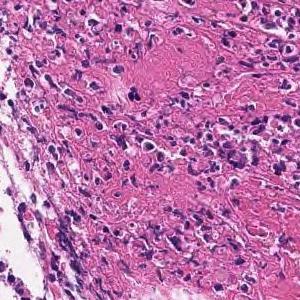
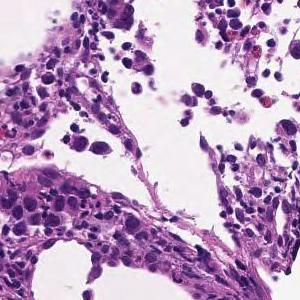
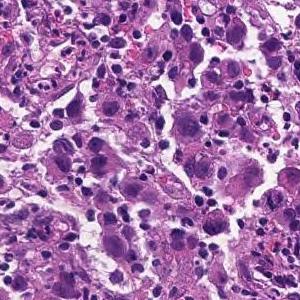
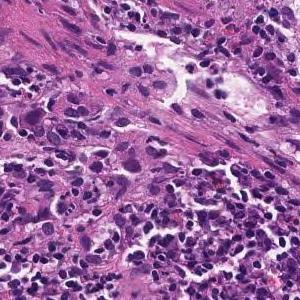
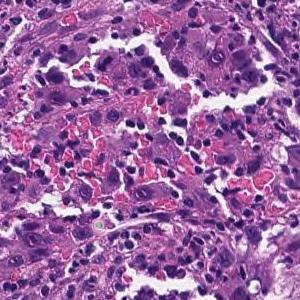
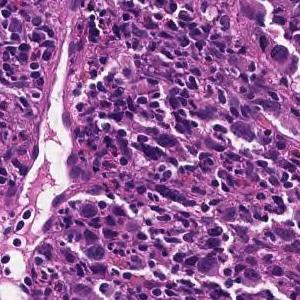
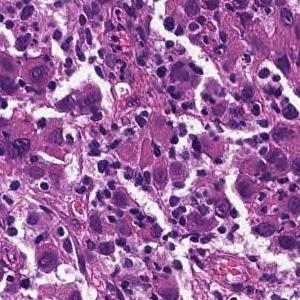
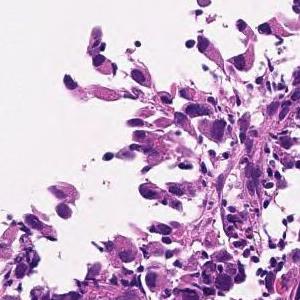
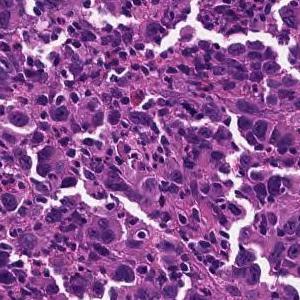
Scanned at ×20; 9 tiles from the same stomach biopsy slide; 300 × 300 pixels each.
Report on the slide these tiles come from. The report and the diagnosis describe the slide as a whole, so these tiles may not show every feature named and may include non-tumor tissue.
The superficial epithelium shows a large sheet-like shape, and some tumor tissue infiltrates with small irregular ducts. Poorly differentiated adenocarcinoma, solid-type (poorly differentiated adenocarcinoma, solid type)
Histological subtype: Poorly differentiated adenocarcinoma, solid type, a category of the Japanese Classification of Gastric Carcinoma; in the WHO 2019 classification it is tubular adenocarcinoma, poorly differentiated.
